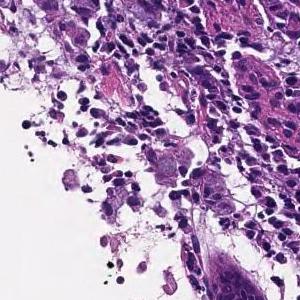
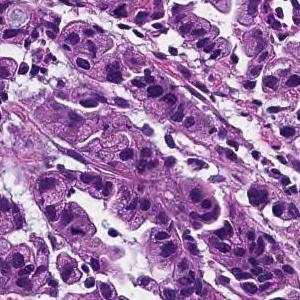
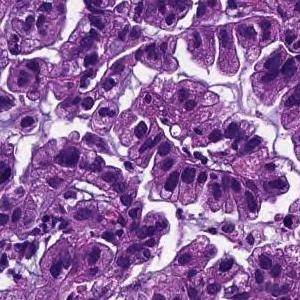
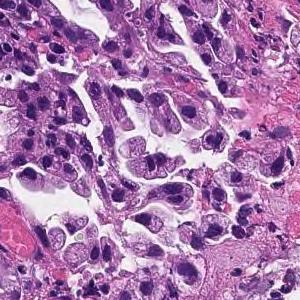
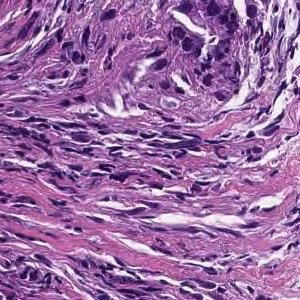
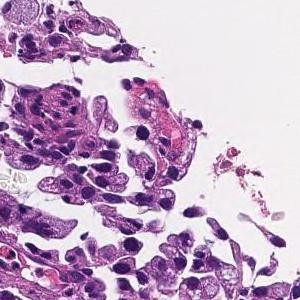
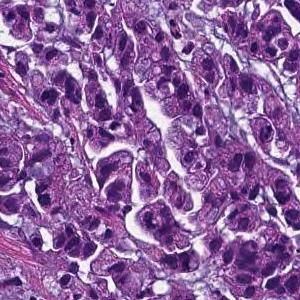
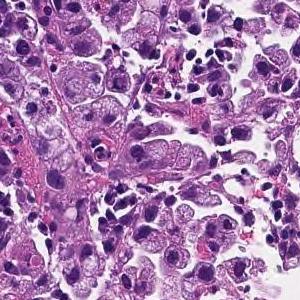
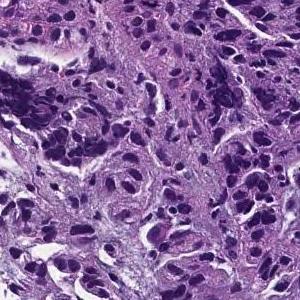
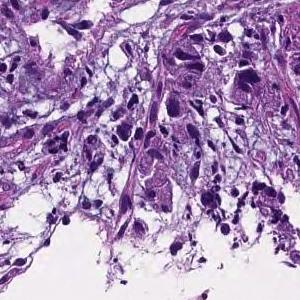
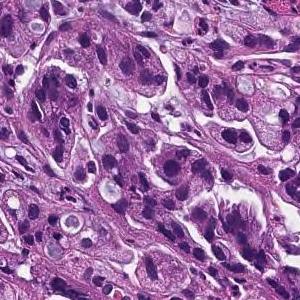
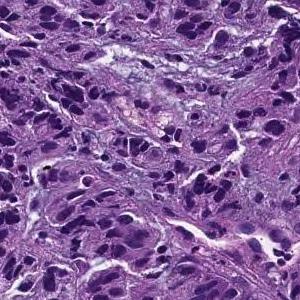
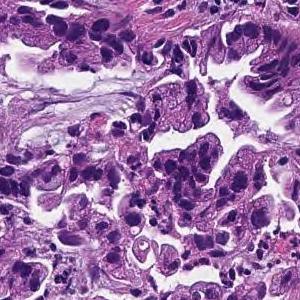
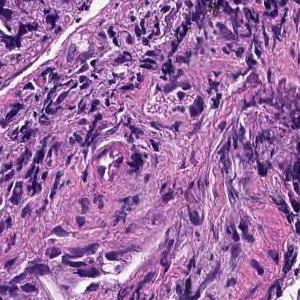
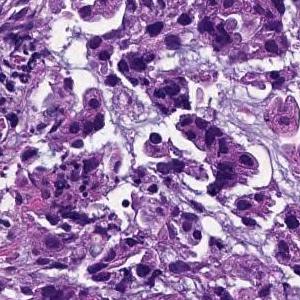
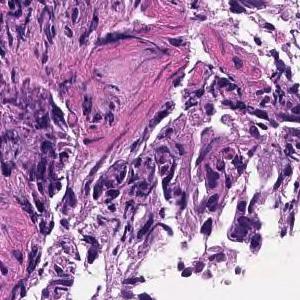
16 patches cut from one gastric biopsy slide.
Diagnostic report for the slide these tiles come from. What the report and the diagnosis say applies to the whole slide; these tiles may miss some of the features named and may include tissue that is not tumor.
Tumor tissue consisting of medium-sized, cord-like or irregular glandular infiltration is observed in the superficial epithelium. Poorly differentiated adenocarcinoma, non-solid type or moderately differentiated tubular adenocarcinoma
Classified as moderately to poorly differentiated adenocarcinoma.
"Non-solid type" is a category of the Japanese Classification of Gastric Carcinoma.
